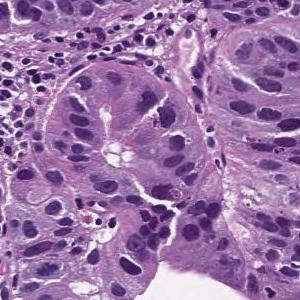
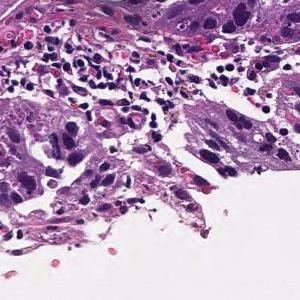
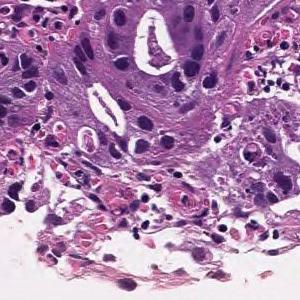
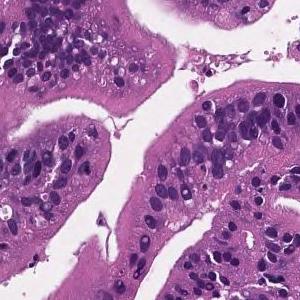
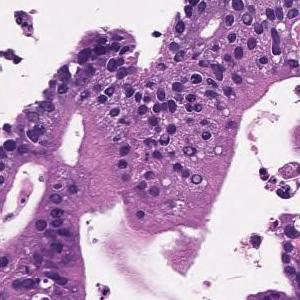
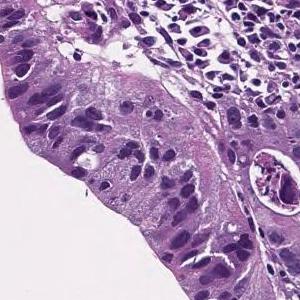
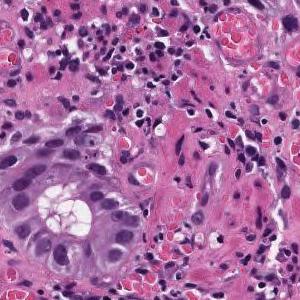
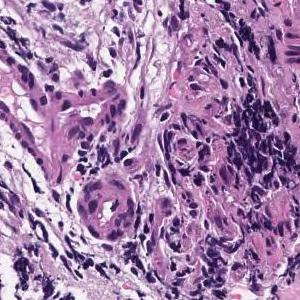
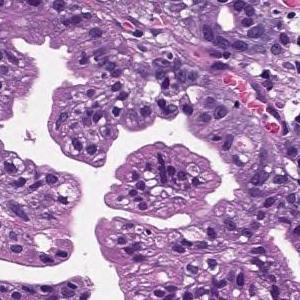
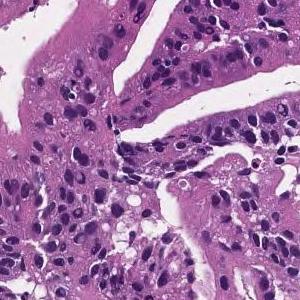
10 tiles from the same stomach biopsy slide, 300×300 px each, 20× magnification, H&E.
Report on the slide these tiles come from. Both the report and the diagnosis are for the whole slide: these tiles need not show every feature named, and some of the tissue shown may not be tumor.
Tumor cells are large, highly columnar, large club-shaped nuclei, and are associated with chromatin aggregation. Papillary adenocarcinoma.
